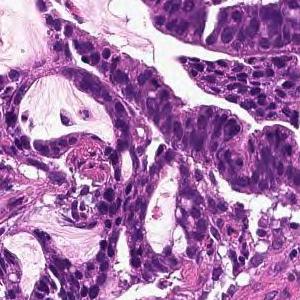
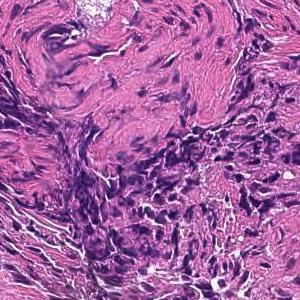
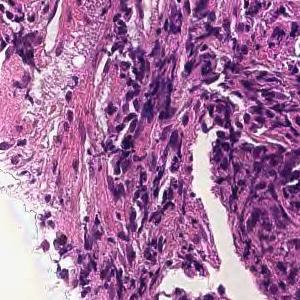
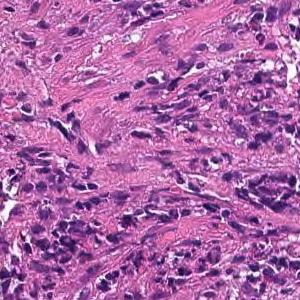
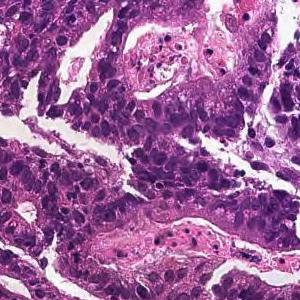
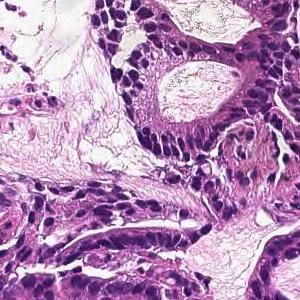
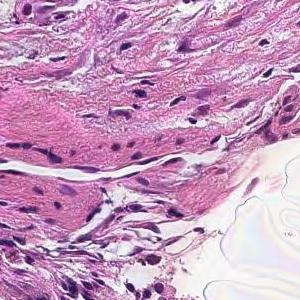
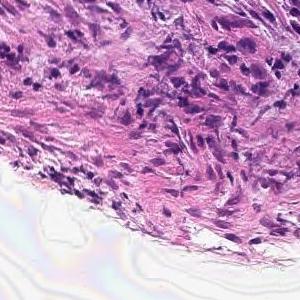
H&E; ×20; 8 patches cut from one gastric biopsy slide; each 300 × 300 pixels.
The pathologist's report on the biopsy slide these tiles were taken from. Both the report and the diagnosis are for the whole slide: these tiles need not show every feature named, and some of the tissue shown may not be tumor.
In the superficial epithelium, tumor tissue that invades by forming medium-sized to small, irregular ducts is observed. moderately differentiated tubular adenocarcinoma.
